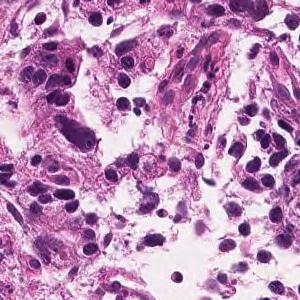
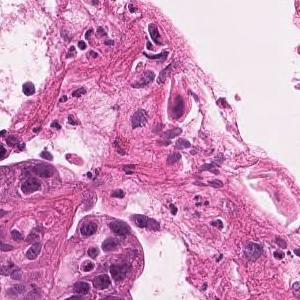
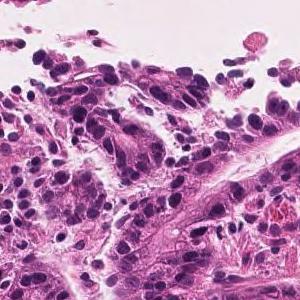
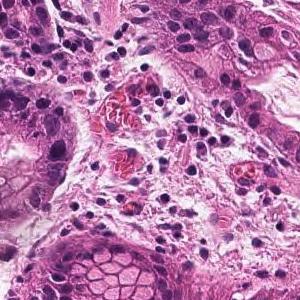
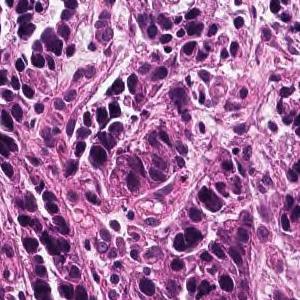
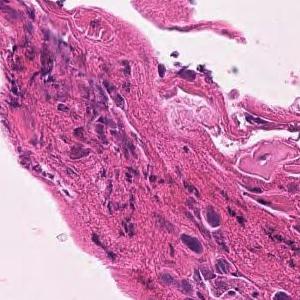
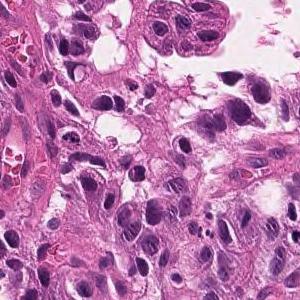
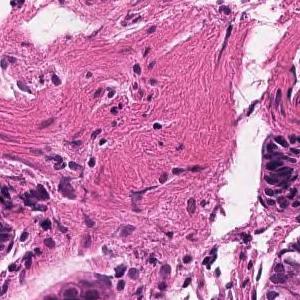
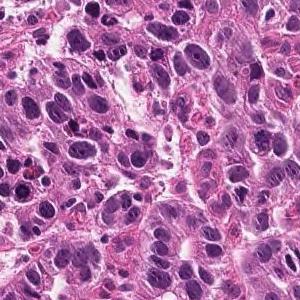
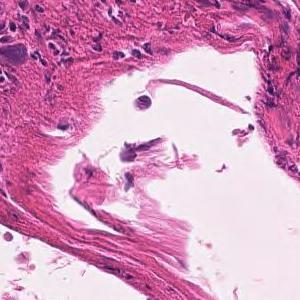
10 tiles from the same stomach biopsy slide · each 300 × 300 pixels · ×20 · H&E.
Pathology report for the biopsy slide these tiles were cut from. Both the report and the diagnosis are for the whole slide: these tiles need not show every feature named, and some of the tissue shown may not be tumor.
Tumor tissue consisting of medium-sized, cord-like or irregular glandular infiltration is observed in the superficial epithelium. Poorly differentiated adenocarcinoma, non-solid type or moderately differentiated tubular adenocarcinoma
Histologic type: Moderately to poorly differentiated adenocarcinoma.
The term "non-solid type" comes from the Japanese Classification of Gastric Carcinoma.
